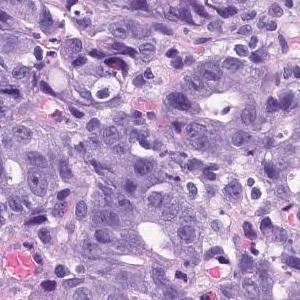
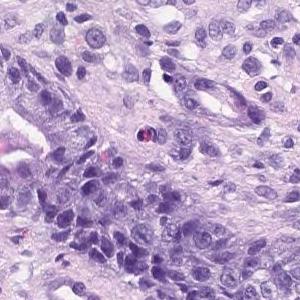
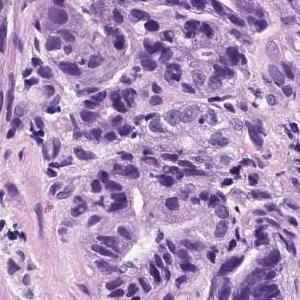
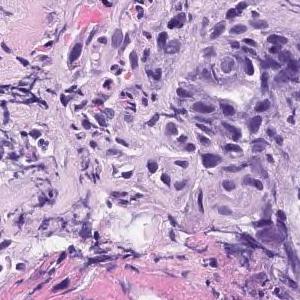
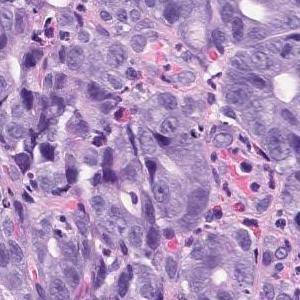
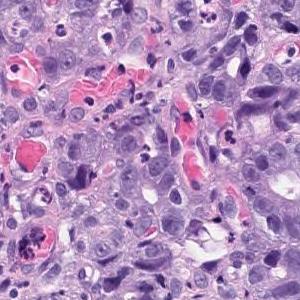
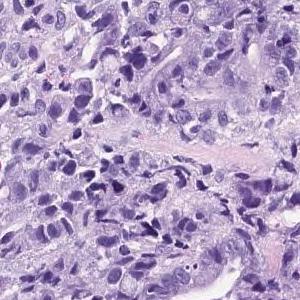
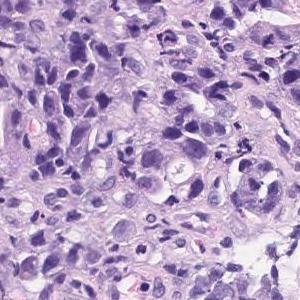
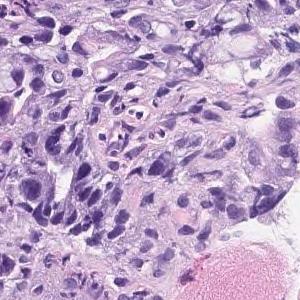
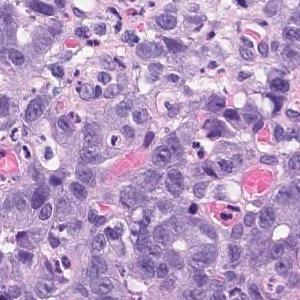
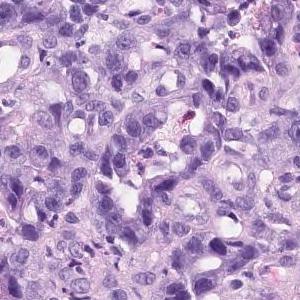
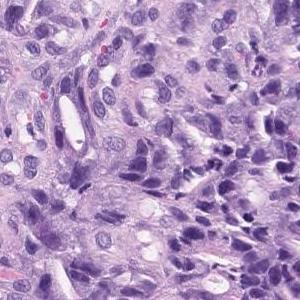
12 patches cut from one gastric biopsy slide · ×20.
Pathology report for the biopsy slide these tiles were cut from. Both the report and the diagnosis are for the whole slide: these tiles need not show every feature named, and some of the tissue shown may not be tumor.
In the superficial epithelium, tumor tissue that invades by forming medium-sized to small, irregular ducts is observed. Moderately differentiated adenocarcinoma.
Histologic type: Moderately differentiated tubular adenocarcinoma.
